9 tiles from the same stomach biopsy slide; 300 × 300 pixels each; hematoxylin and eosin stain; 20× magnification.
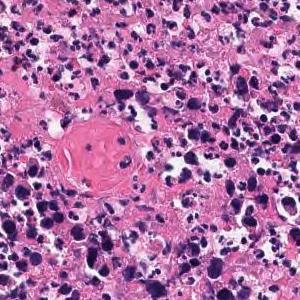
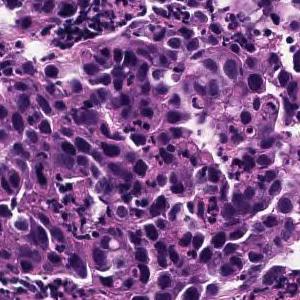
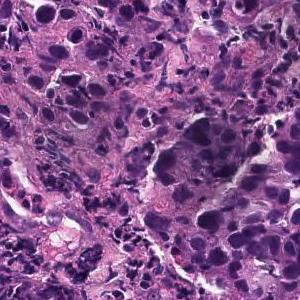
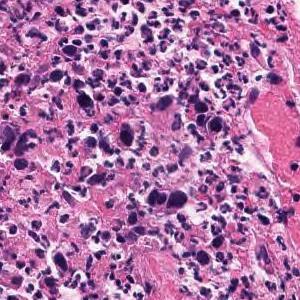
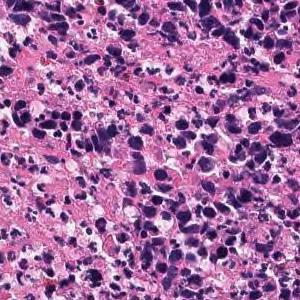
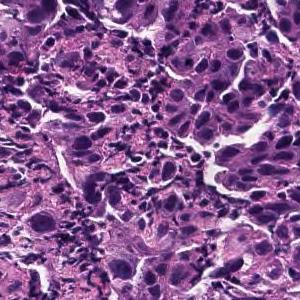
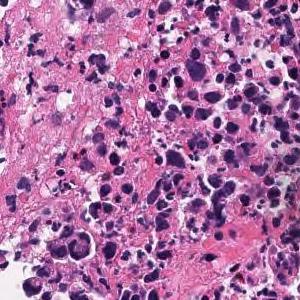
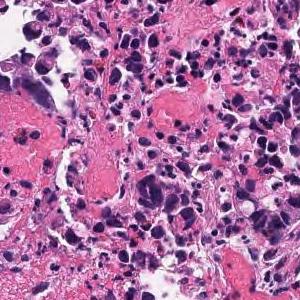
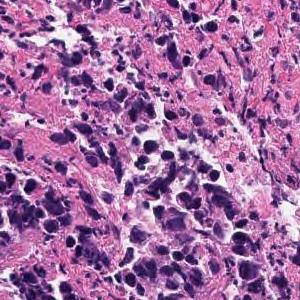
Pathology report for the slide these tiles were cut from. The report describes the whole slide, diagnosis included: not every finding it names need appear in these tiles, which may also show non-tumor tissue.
In the superficial epithelium, tumor tissue that invades by forming medium-sized to small, irregular ducts is observed. Tumor cells are columnar or cuboidal in shape. Moderately differentiated adenocarcinoma.
Classified as moderately differentiated tubular adenocarcinoma.
